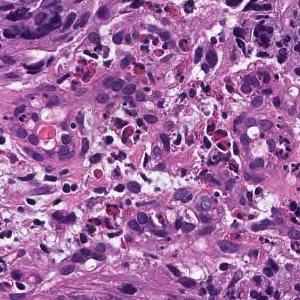
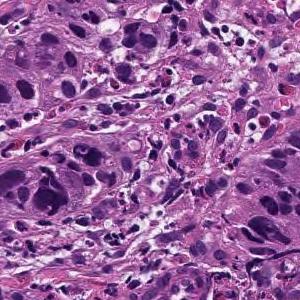
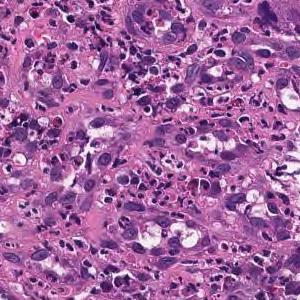
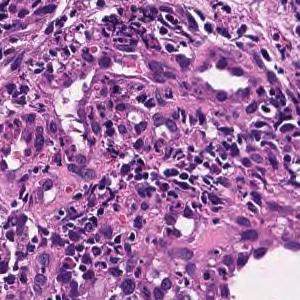
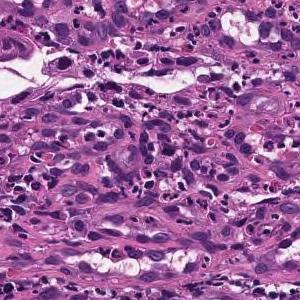
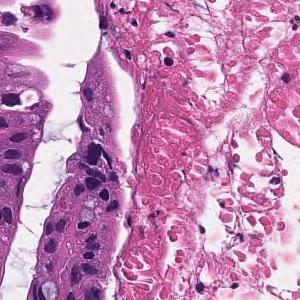
6 tiles cut from one stomach biopsy slide · each 300 × 300 pixels · 20× magnification · H&E stain.
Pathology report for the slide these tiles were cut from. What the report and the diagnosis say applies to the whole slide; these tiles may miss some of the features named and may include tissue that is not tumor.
In the superficial epithelium, tumor tissue that invades by forming medium-sized to small, irregular ducts is observed. moderately differentiated tubular adenocarcinoma.
